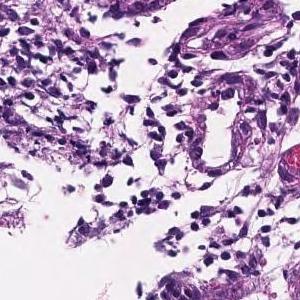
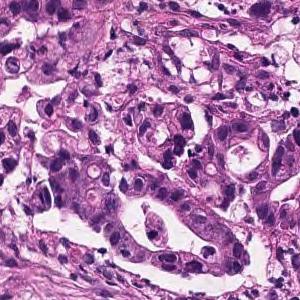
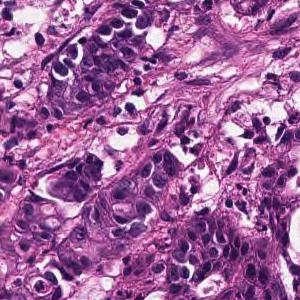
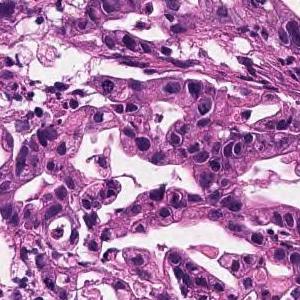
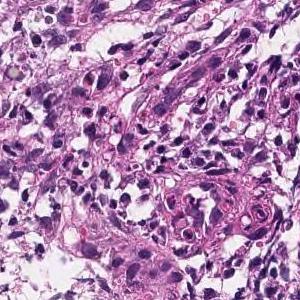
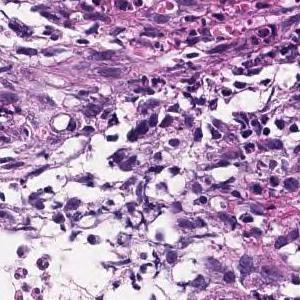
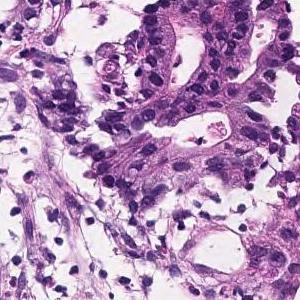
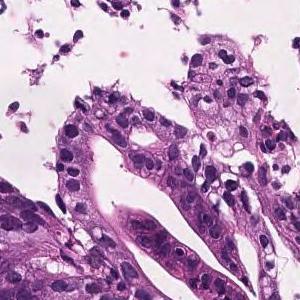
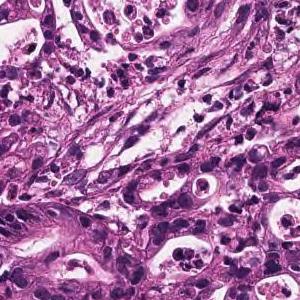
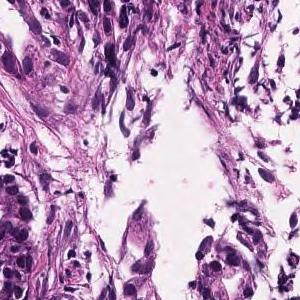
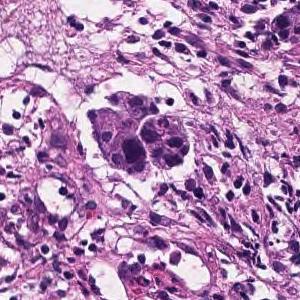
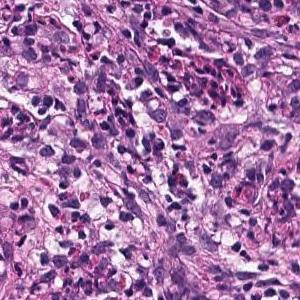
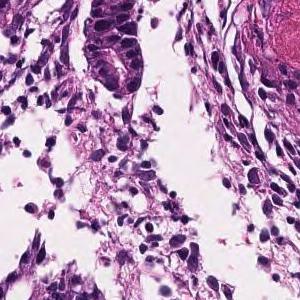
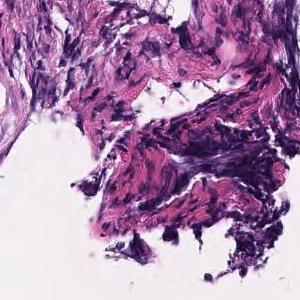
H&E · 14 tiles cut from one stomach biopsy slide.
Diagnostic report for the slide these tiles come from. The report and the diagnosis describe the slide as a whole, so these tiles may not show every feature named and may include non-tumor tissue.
In the superficial epithelium, medium to small, irregular gland ducts are formed, and in some cases, the gland ducts are fused to show solid alveolar lesions and infiltrating tumor tissue is observed. Moderately to poorly differentiated adenocarcinoma.
